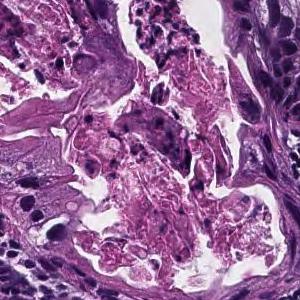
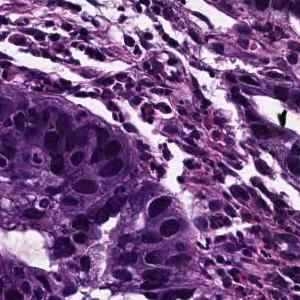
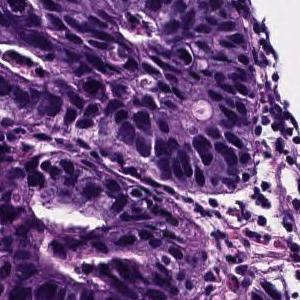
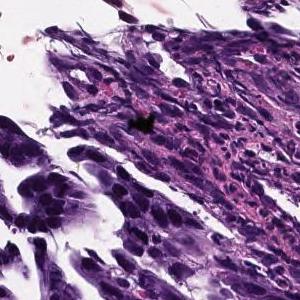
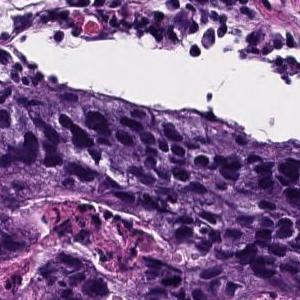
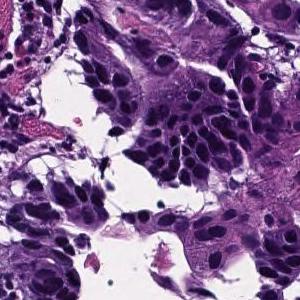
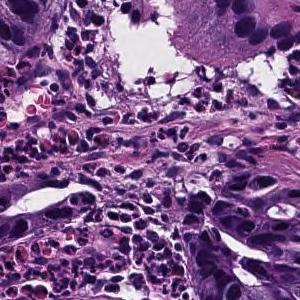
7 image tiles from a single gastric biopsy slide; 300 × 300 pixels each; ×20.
Pathology report for the slide these tiles were cut from. Both the report and the diagnosis are for the whole slide: these tiles need not show every feature named, and some of the tissue shown may not be tumor.
In the superficial epithelium, tumor tissue that invades by forming medium-sized to small, irregular ducts is observed. Moderately differentiated adenocarcinoma.
Subtype: Moderately differentiated tubular adenocarcinoma.
